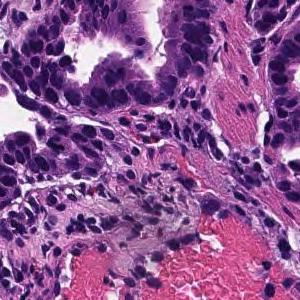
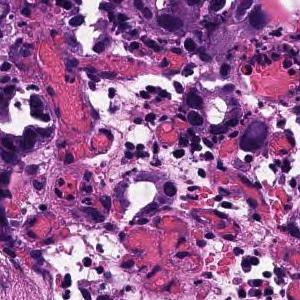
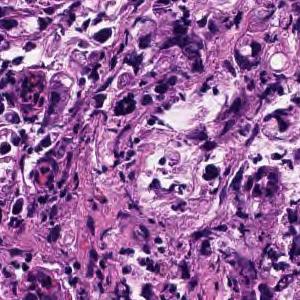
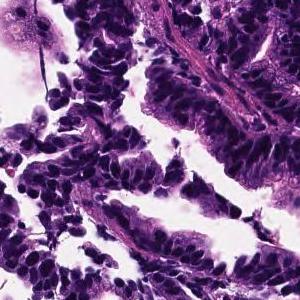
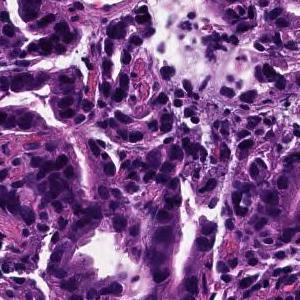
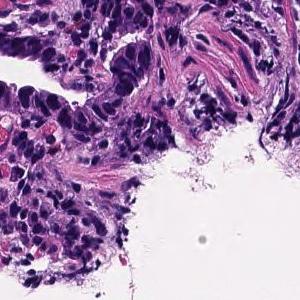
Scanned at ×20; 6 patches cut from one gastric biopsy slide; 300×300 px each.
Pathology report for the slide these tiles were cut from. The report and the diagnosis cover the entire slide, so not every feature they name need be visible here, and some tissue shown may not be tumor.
On the superficial epithelium, tumor tissue that infiltrates by forming medium-sized papillary or small irregular ducts is observed. Papillary adenocarcinoma
